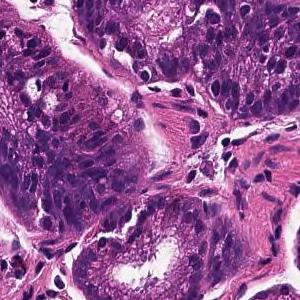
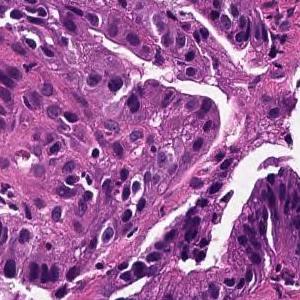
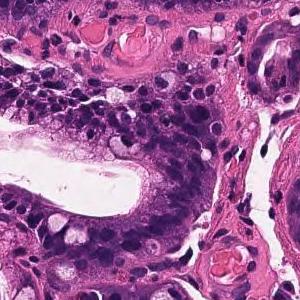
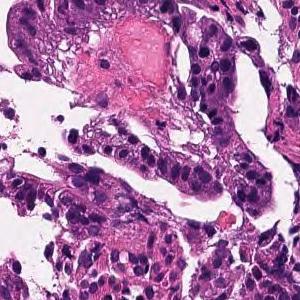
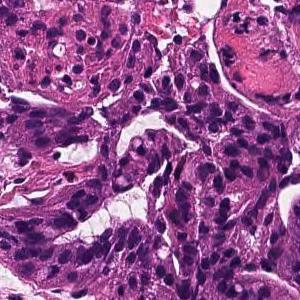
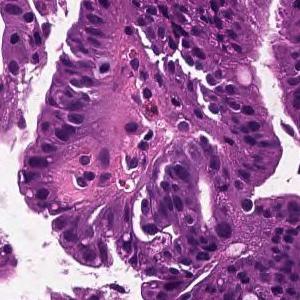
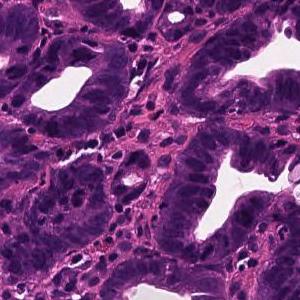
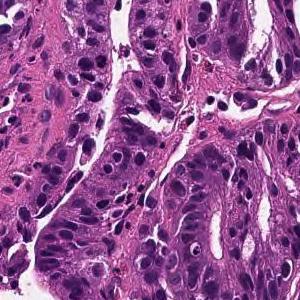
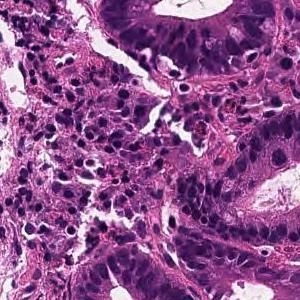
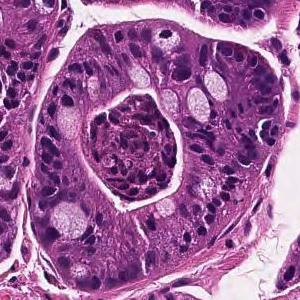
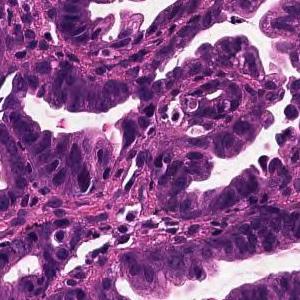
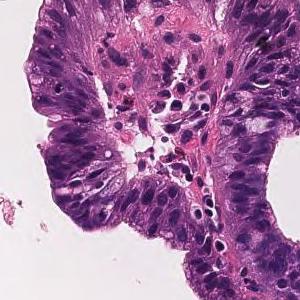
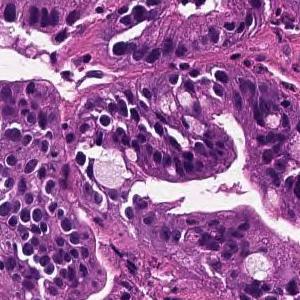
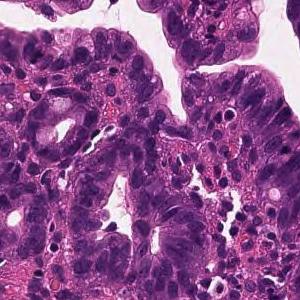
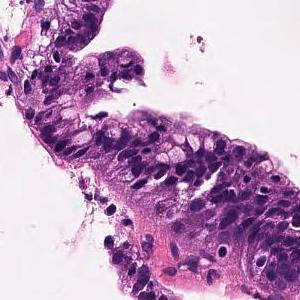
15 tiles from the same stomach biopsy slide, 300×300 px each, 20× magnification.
Pathology report for the slide these tiles were cut from. The report describes the whole slide, diagnosis included: not every finding it names need appear in these tiles, which may also show non-tumor tissue.
On the superficial epithelium, tumor tissue that infiltrates by forming medium-sized papillary or small irregular ducts is observed. Papillary adenocarcinoma
